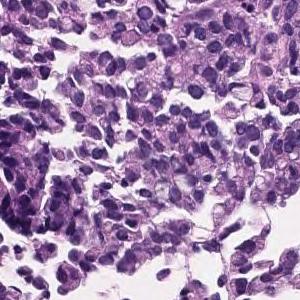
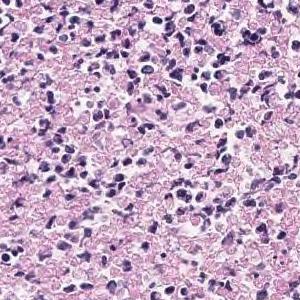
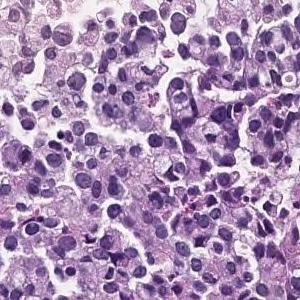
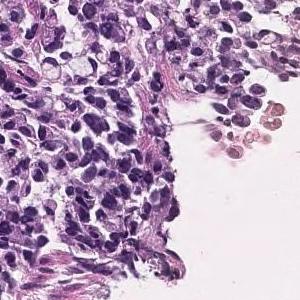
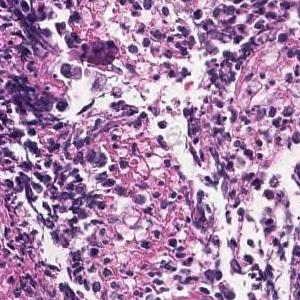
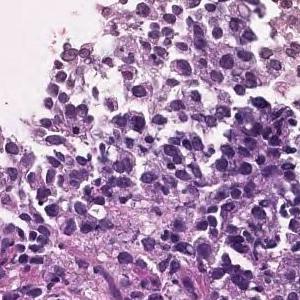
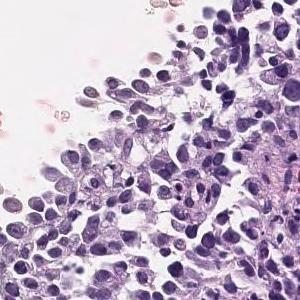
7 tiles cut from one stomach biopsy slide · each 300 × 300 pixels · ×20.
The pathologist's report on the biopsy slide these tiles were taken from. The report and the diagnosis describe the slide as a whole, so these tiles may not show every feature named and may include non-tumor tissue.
The superficial epithelium shows a large sheet-like shape, and some tumor tissue infiltrates with small irregular ducts. Poorly differentiated adenocarcinoma, solid-type
Subtype: Poorly differentiated adenocarcinoma, solid type (Japanese Classification of Gastric Carcinoma). The WHO 2019 equivalent is tubular adenocarcinoma, poorly differentiated.
